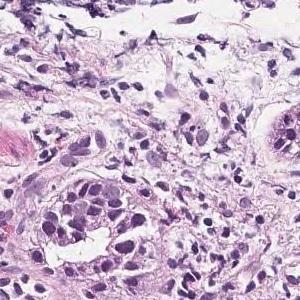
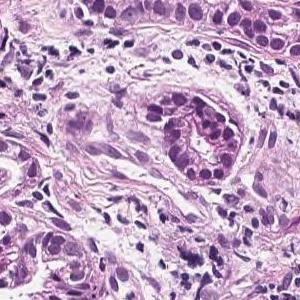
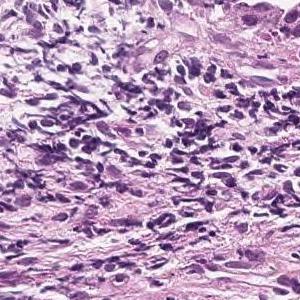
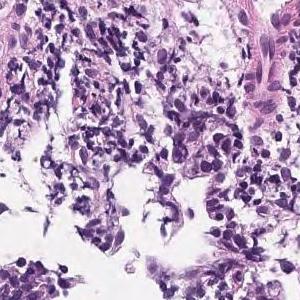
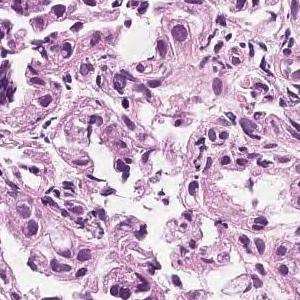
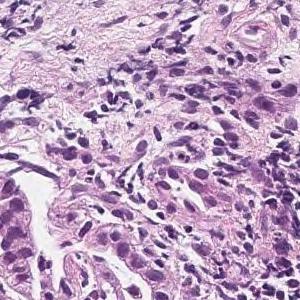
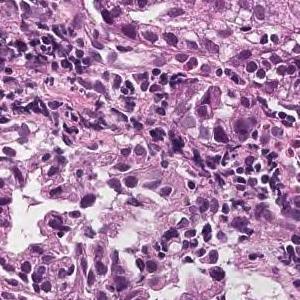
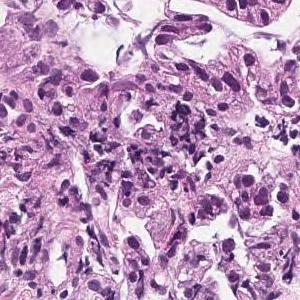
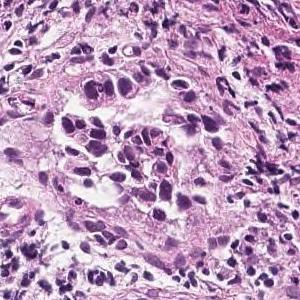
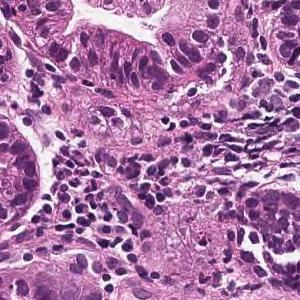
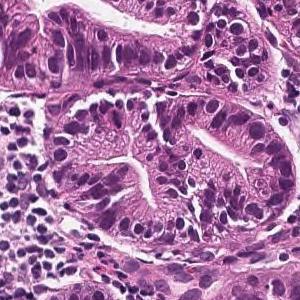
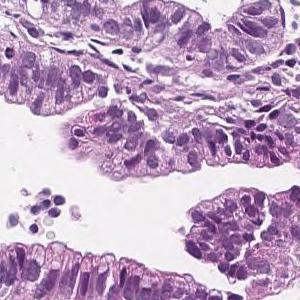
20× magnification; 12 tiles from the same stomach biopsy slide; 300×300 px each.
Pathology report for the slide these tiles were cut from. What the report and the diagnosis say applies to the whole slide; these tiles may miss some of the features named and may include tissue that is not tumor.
In the superficial epithelium, tumor tissue that invades by forming medium-sized to small, irregular ducts is observed. moderately differentiated tubular adenocarcinoma.
